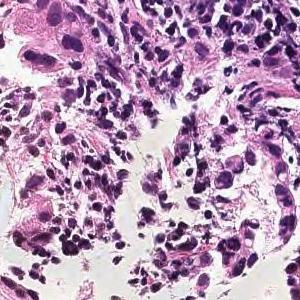
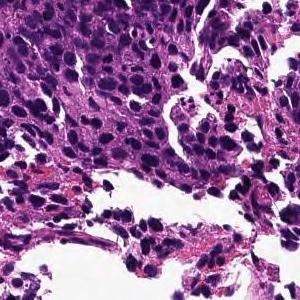
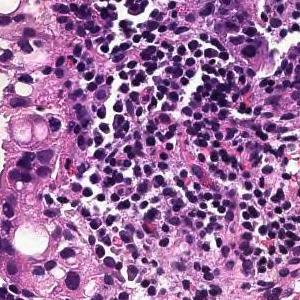
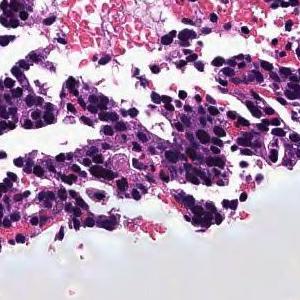
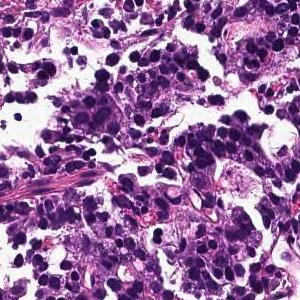
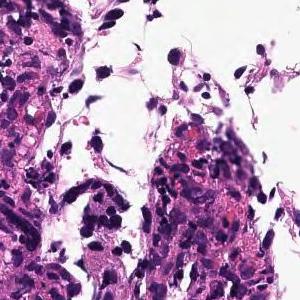
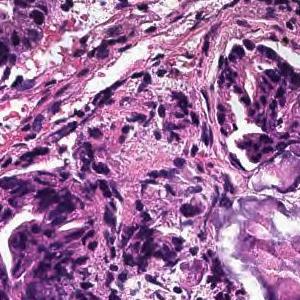
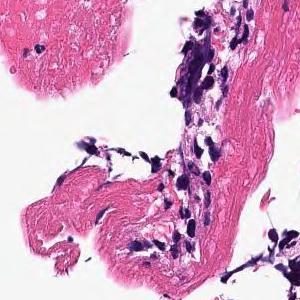
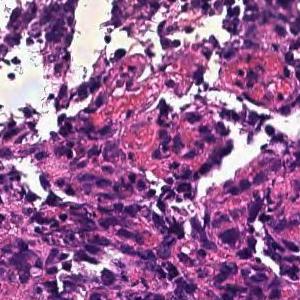
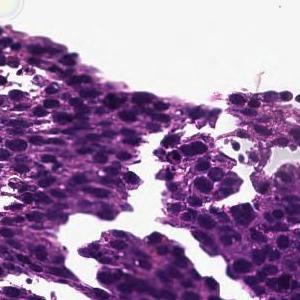
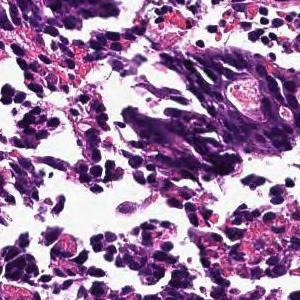
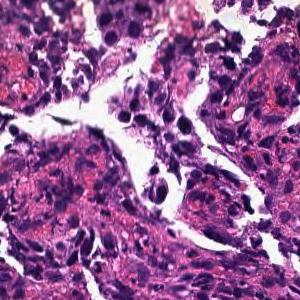
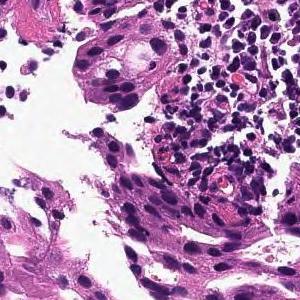
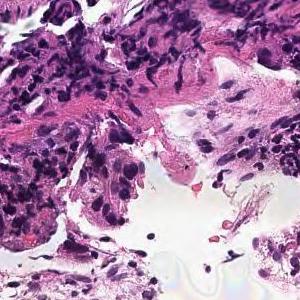
14 image tiles from a single gastric biopsy slide; 300×300 px each; H&E stain; 20× magnification.
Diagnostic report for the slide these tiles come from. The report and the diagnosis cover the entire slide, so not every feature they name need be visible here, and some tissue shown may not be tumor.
In the superficial epithelium, tumor tissue that invades by forming medium-sized to small, irregular ducts is observed. moderately differentiated tubular adenocarcinoma.
